4 tiles from the same stomach biopsy slide, 300 × 300 pixels each, hematoxylin and eosin stain, scanned at ×20.
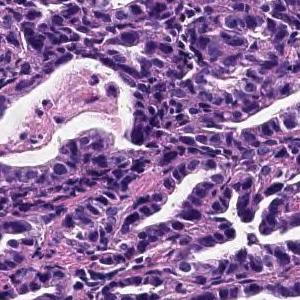
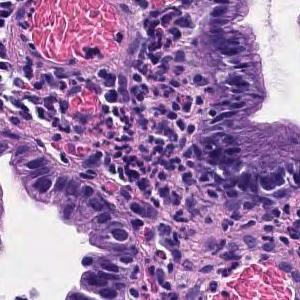
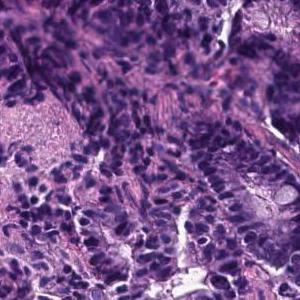
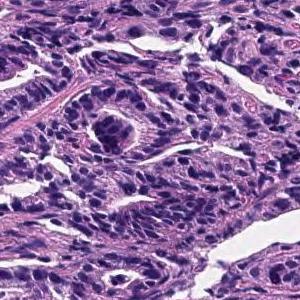
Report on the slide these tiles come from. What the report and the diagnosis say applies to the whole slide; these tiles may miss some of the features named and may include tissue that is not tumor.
The superficial tumors shows large papillary structures or large and small ducts and infiltrates. Papillary adenocarcinoma.
